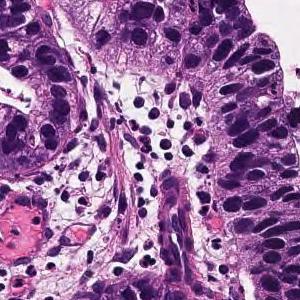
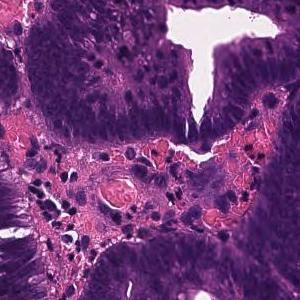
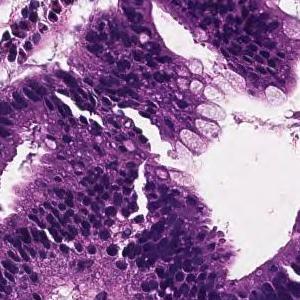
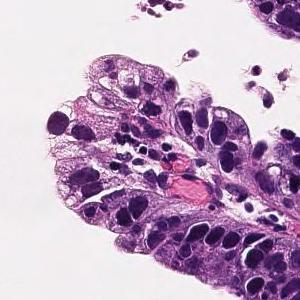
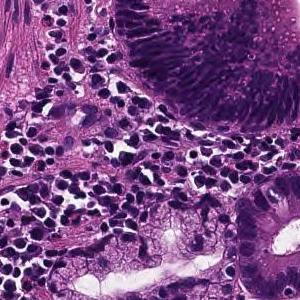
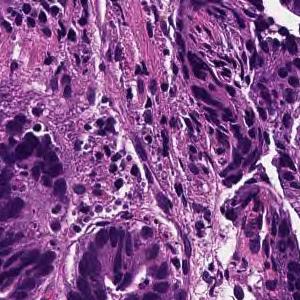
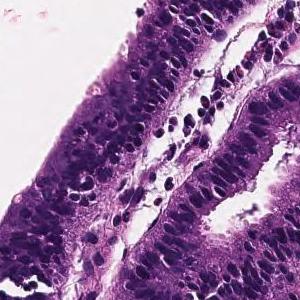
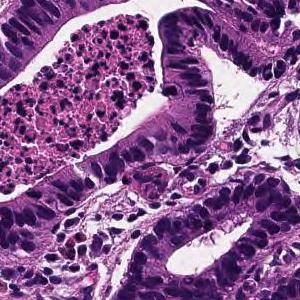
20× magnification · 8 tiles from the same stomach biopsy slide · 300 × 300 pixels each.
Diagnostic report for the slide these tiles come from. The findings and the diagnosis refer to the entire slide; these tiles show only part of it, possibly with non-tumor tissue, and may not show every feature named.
Tumor tissue consisting of large papillary structures is found in the superficial epithelium. Papillary adenocarcinoma.
